14 tiles cut from one stomach biopsy slide; scanned at ×20.
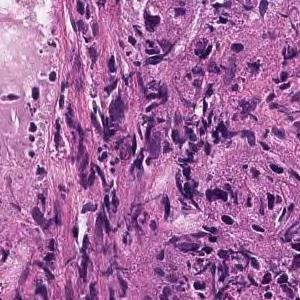
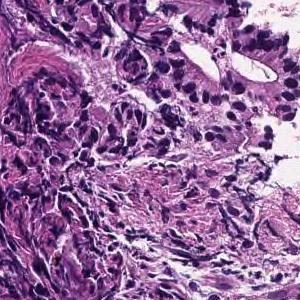
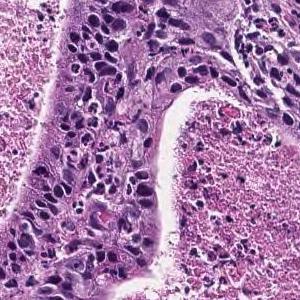
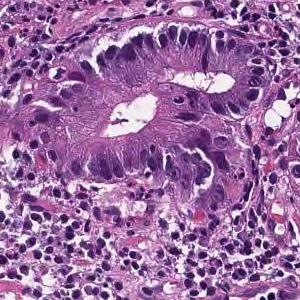
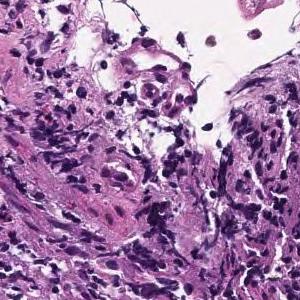
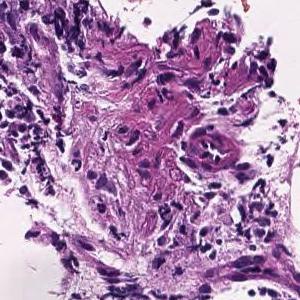
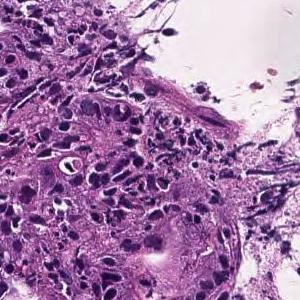
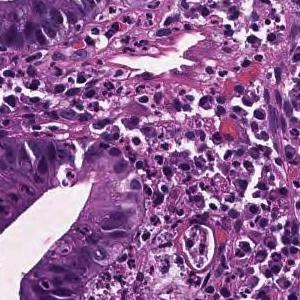
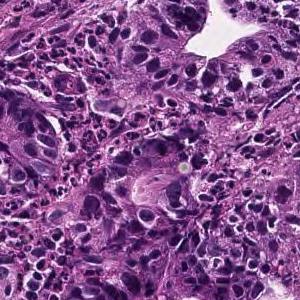
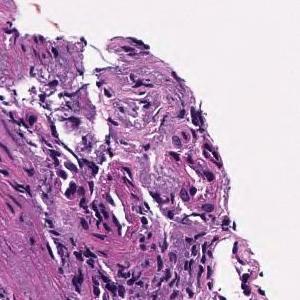
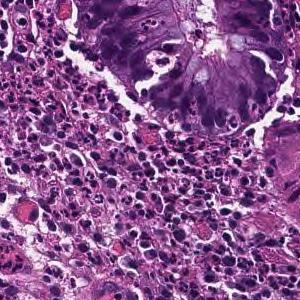
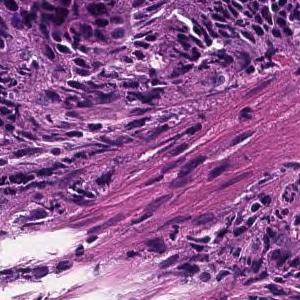
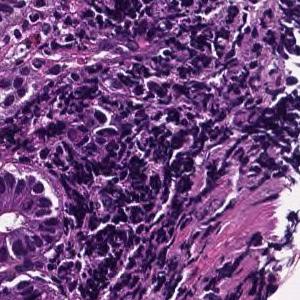
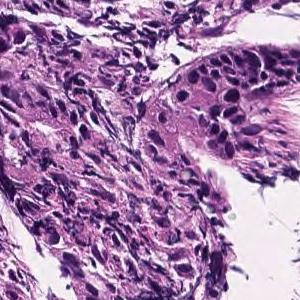
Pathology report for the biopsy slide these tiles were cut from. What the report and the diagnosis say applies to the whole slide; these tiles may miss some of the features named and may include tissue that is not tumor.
On the superficial epithelium, tumor tissue consisting of large, irregular glandular ducts partially fused and infiltrated is observed. Well to moderately differentiated tubular adenocarcinoma (well differentiated tubular adenocarcinoma, moderately differentiated tubular adenocarcinoma)
Histological subtype: Well to moderately differentiated tubular adenocarcinoma.
